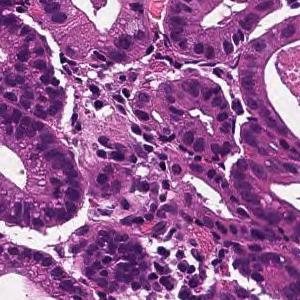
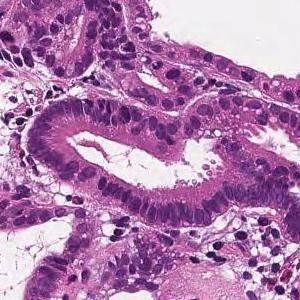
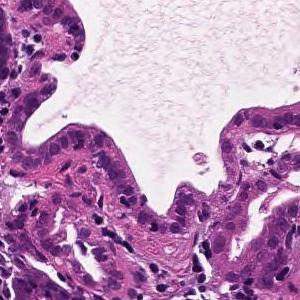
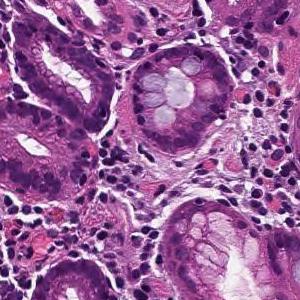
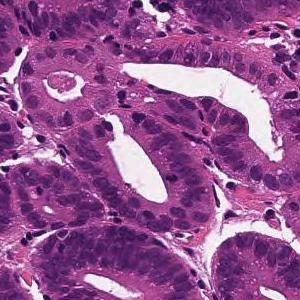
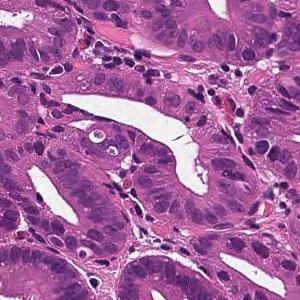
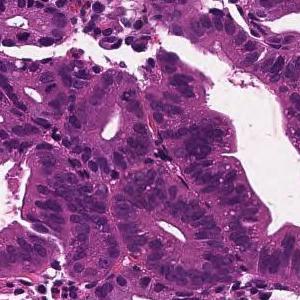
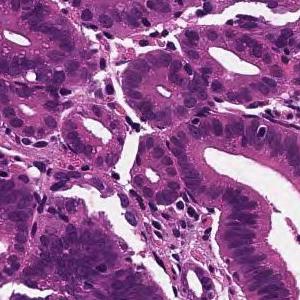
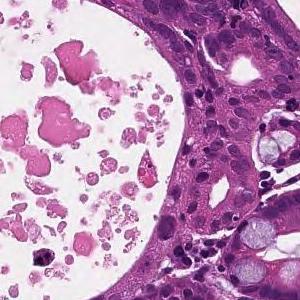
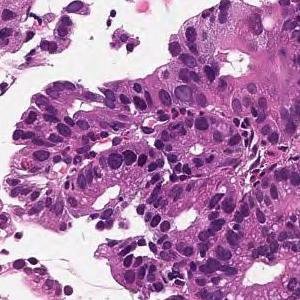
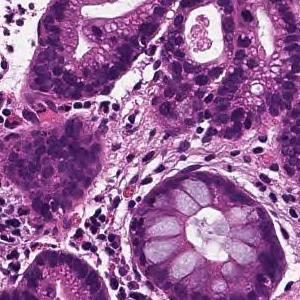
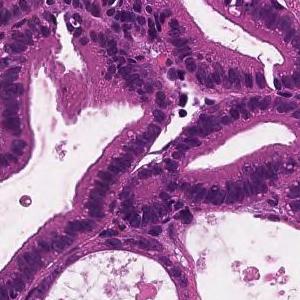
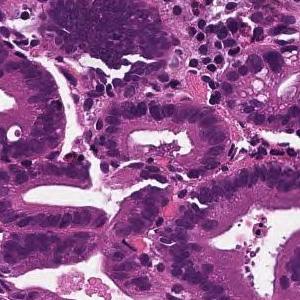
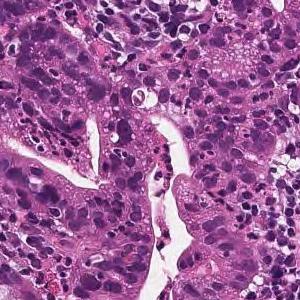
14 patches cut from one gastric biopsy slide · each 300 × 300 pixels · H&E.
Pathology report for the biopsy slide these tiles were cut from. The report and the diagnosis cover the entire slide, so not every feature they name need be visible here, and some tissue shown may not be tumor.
In the superficial epithelium, tumor tissue that invades by forming medium-sized to small, irregular ducts is observed. moderately differentiated tubular adenocarcinoma.
